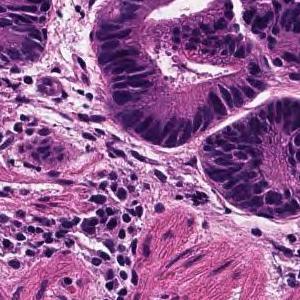
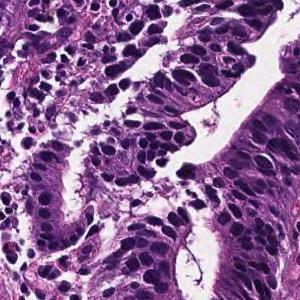
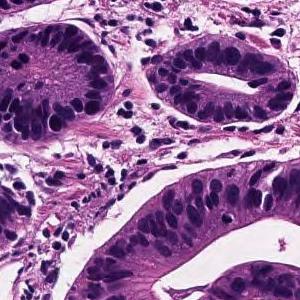
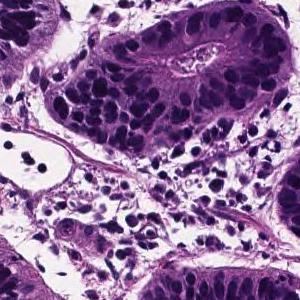
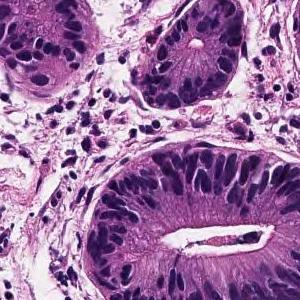
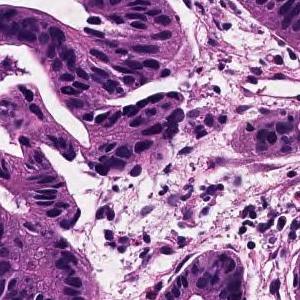
6 patches cut from one gastric biopsy slide; 300×300 px each; H&E stain; scanned at ×20.
Pathology report for the biopsy slide these tiles were cut from. What the report and the diagnosis say applies to the whole slide; these tiles may miss some of the features named and may include tissue that is not tumor.
From the superficial epithelium to the muscularis mucosae, tumor tissue consisting of medium-sized and irregular glandular ducts infiltrating is observed. Well differentiated tubular adenocarcinoma
